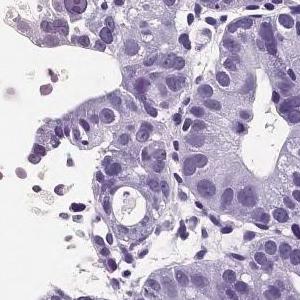
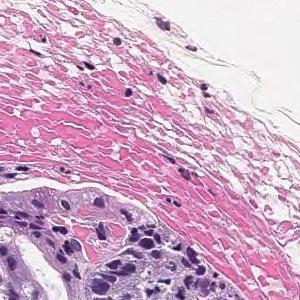
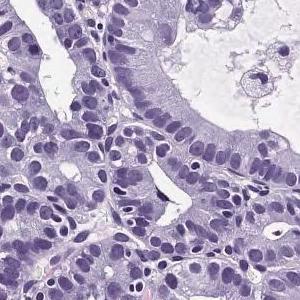
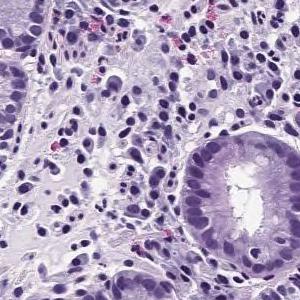
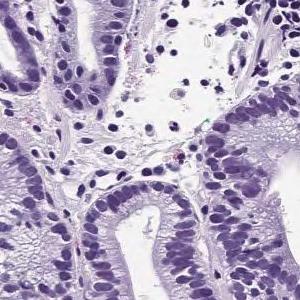
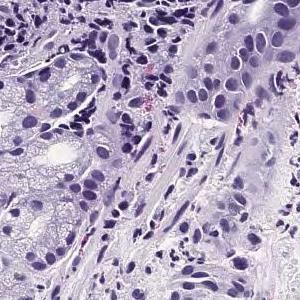
6 tiles cut from one stomach biopsy slide · 300 × 300 pixels each · scanned at ×20.
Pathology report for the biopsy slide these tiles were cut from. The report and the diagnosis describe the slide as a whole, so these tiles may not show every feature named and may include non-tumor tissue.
From the superficial epithelium to the muscularis mucosae, tumor tissue consisting of medium-sized and irregular glandular ducts infiltrating is observed. Well differentiated tubular adenocarcinoma
